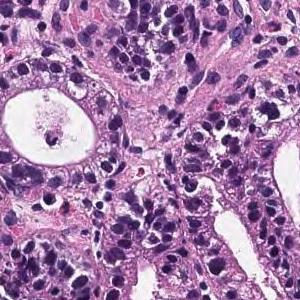
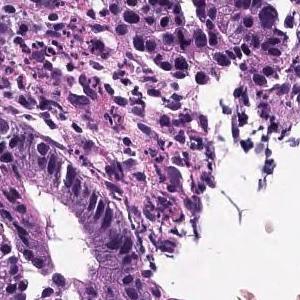
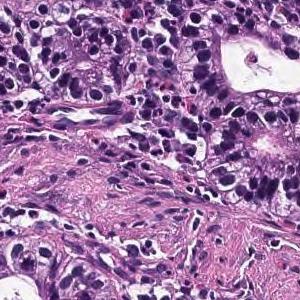
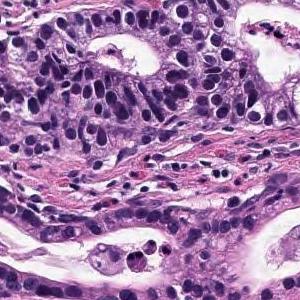
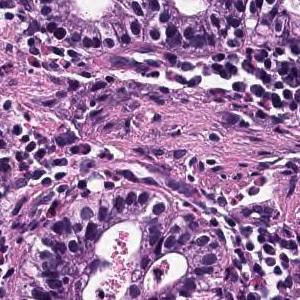
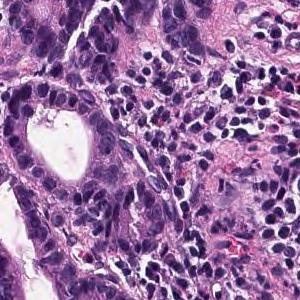
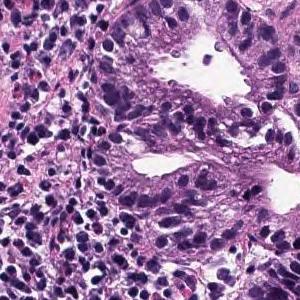
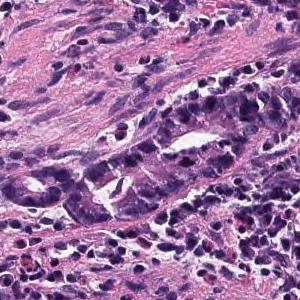
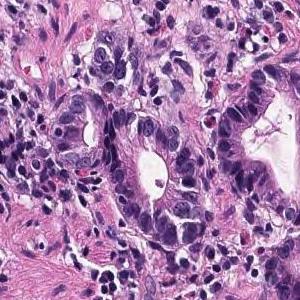
×20 · H&E stain · 9 tiles from the same stomach biopsy slide · 300×300 px each.
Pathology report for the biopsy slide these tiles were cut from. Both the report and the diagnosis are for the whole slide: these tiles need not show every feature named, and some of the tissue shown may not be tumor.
Neoplastic cells with atypical nuclei of different sizes exhibit tubular glands and infiltrate and proliferate. Moderately differentiated tubular adenocarcinoma.
